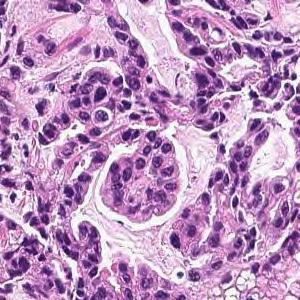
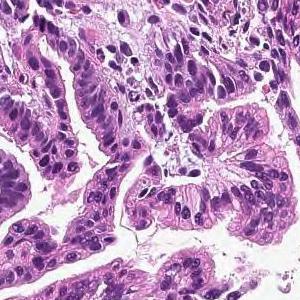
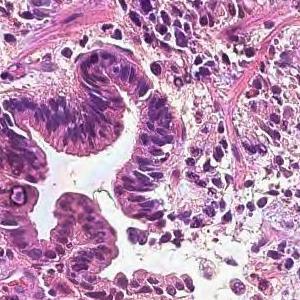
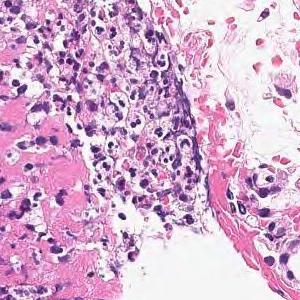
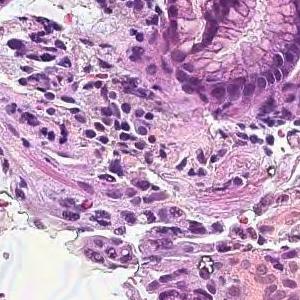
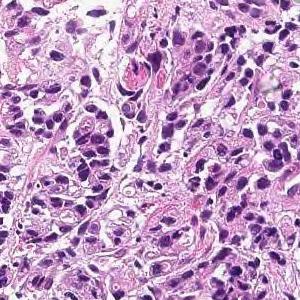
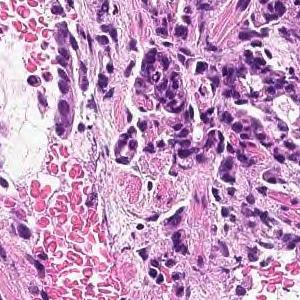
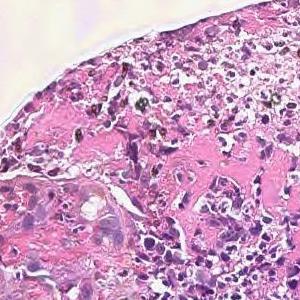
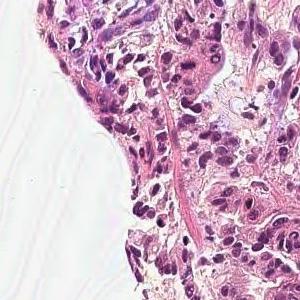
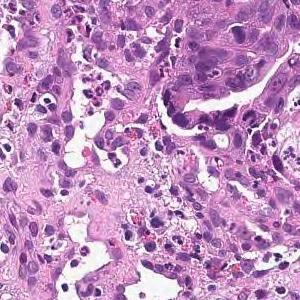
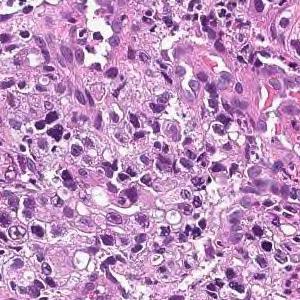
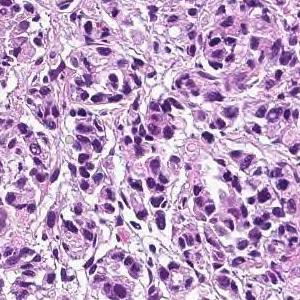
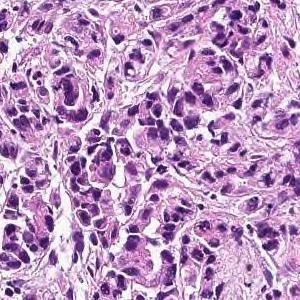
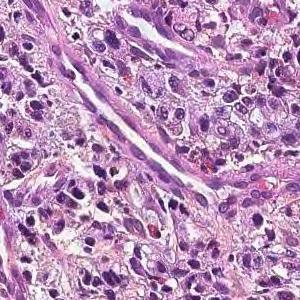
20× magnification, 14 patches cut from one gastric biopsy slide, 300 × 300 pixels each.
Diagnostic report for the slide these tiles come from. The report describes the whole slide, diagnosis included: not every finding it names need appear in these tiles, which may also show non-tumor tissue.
Tumor tissue consisting of medium-sized, cord-like or irregular glandular infiltration is observed in the superficial epithelium. Poorly differentiated adenocarcinoma, non-solid type or moderately differentiated tubular adenocarcinoma
Histological subtype: Moderately to poorly differentiated adenocarcinoma.
The term "non-solid type" comes from the Japanese Classification of Gastric Carcinoma.
